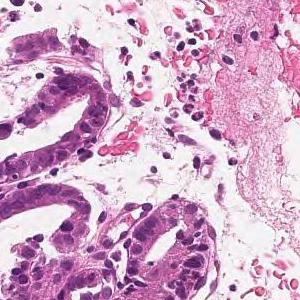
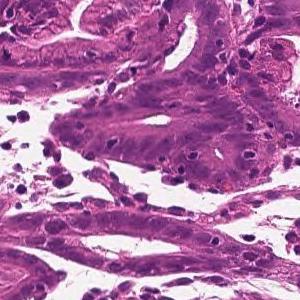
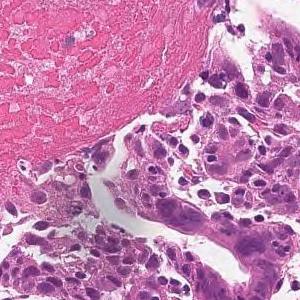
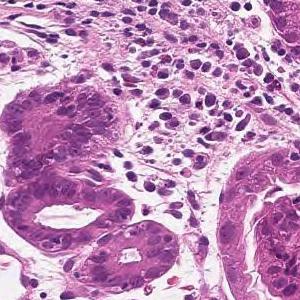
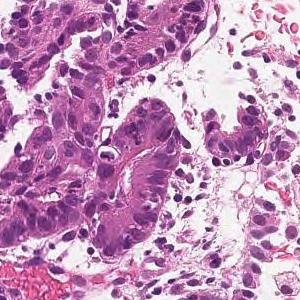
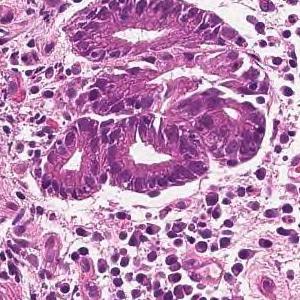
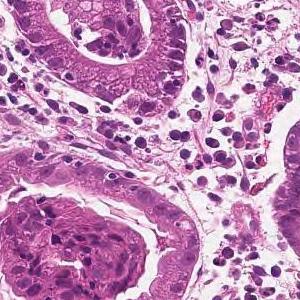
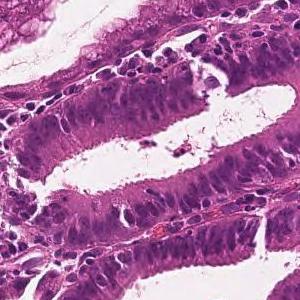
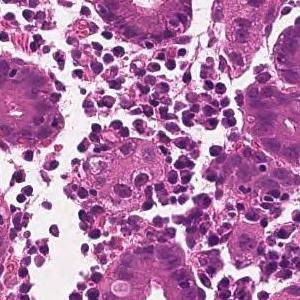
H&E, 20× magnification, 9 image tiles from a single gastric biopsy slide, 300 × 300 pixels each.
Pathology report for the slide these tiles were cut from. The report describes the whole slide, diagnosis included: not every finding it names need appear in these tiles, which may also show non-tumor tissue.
On the superficial epithelium, tumor tissue is found in which medium-sized irregular gland ducts fuse with each other and infiltrate. moderately differentiated tubular adenocarcinoma
